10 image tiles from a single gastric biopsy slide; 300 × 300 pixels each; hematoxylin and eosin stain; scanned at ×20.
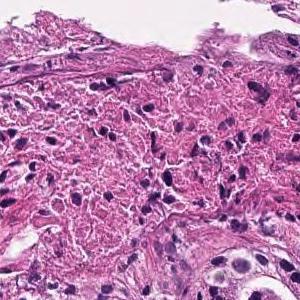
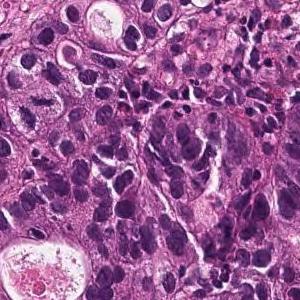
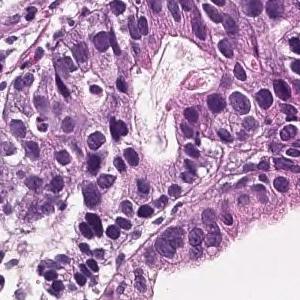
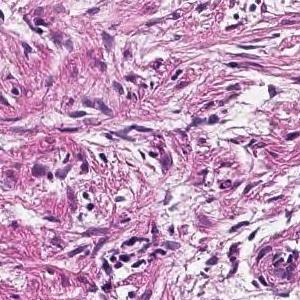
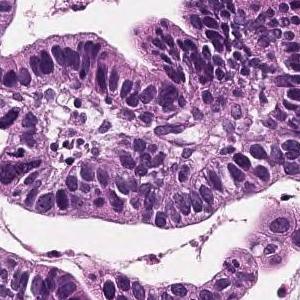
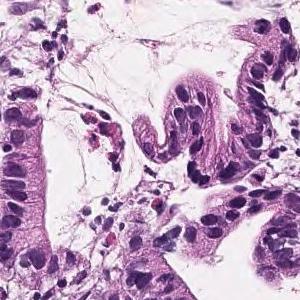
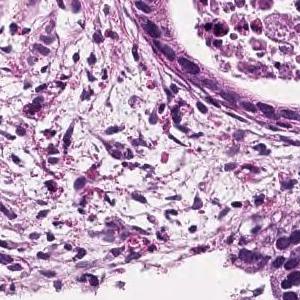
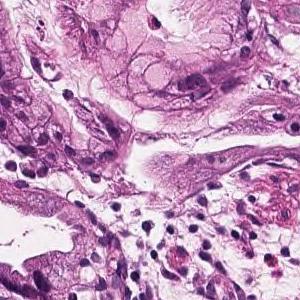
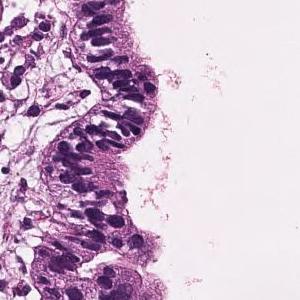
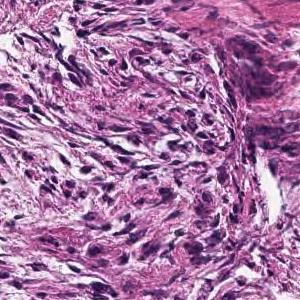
The pathologist's report on the biopsy slide these tiles were taken from. What the report and the diagnosis say applies to the whole slide; these tiles may miss some of the features named and may include tissue that is not tumor.
On the superficial epithelium, tumor tissue consisting of large, irregular glandular ducts partially fused and infiltrated is observed. Well to moderately differentiated tubular adenocarcinoma (well differentiated tubular adenocarcinoma, moderately differentiated tubular adenocarcinoma)
Histologic type: Well to moderately differentiated tubular adenocarcinoma.
